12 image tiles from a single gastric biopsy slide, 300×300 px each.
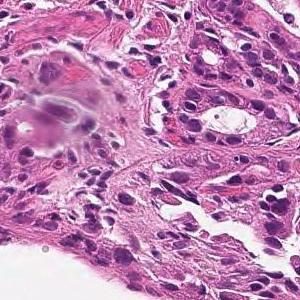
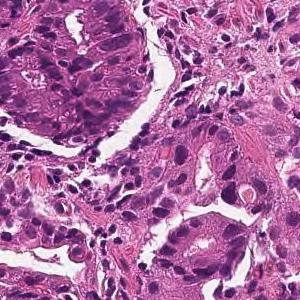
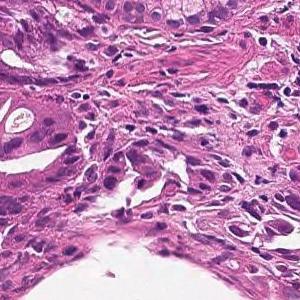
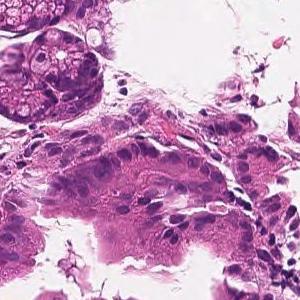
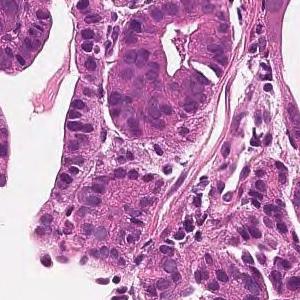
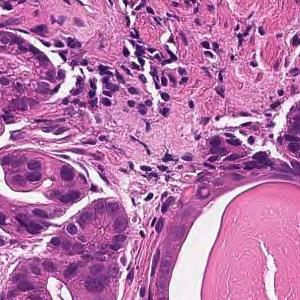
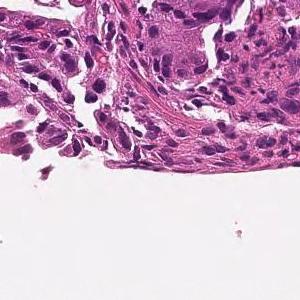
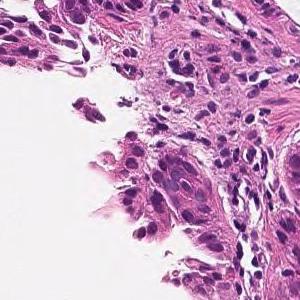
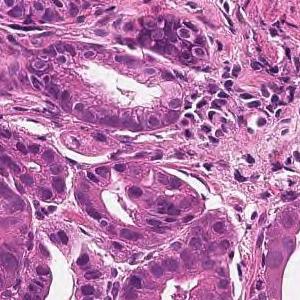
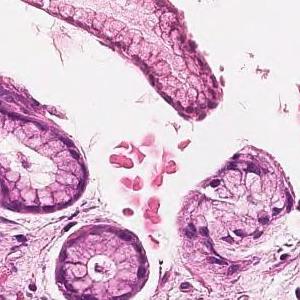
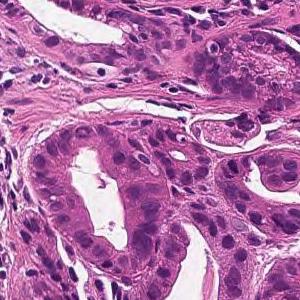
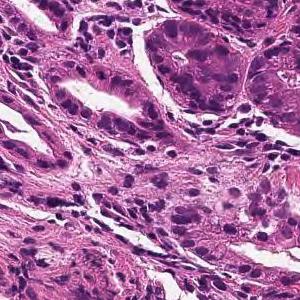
The pathologist's report on the biopsy slide these tiles were taken from. The report and the diagnosis describe the slide as a whole, so these tiles may not show every feature named and may include non-tumor tissue.
On the superficial epithelium, tumor tissue that infiltrates by forming medium-sized papillary or small irregular ducts is observed. Papillary adenocarcinoma
